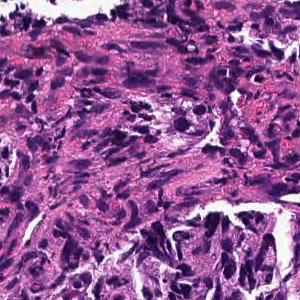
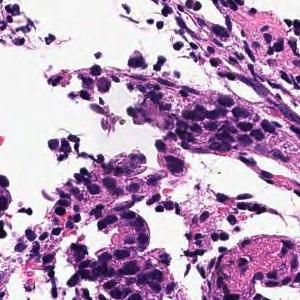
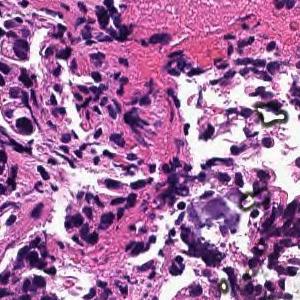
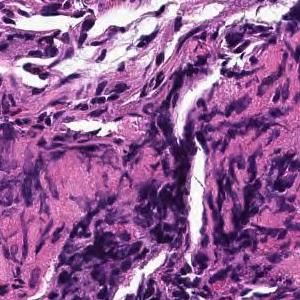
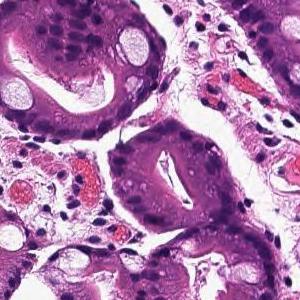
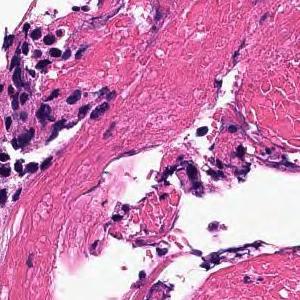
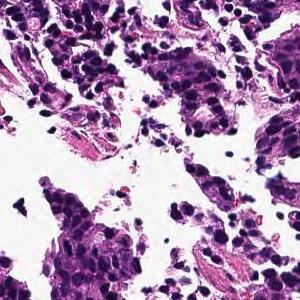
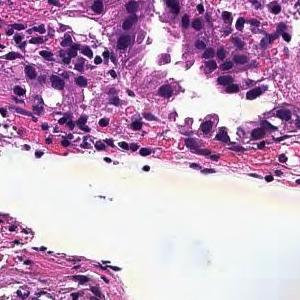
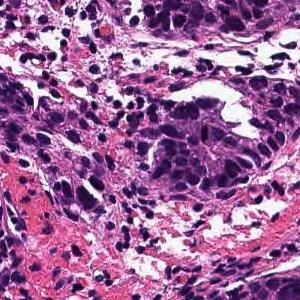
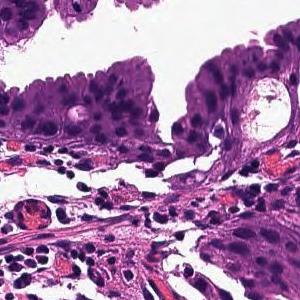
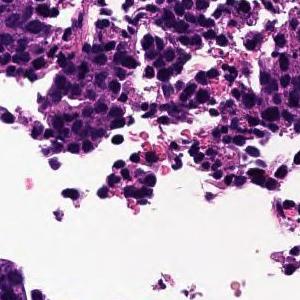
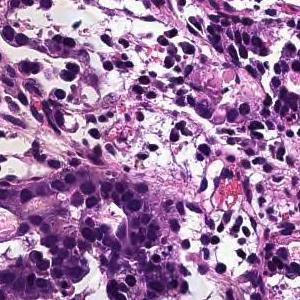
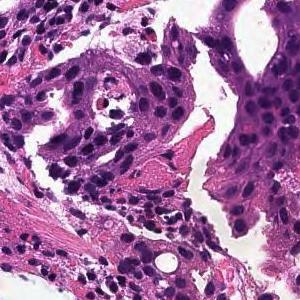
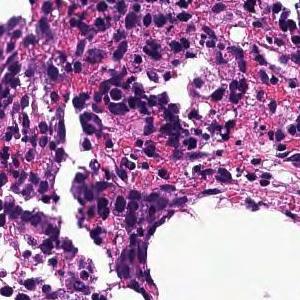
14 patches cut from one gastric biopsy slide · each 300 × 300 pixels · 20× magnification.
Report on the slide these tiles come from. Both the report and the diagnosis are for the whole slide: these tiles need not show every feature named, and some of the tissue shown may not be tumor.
In the superficial epithelium, tumor tissue that invades by forming medium-sized to small, irregular ducts is observed. moderately differentiated tubular adenocarcinoma.
